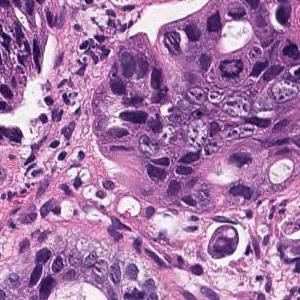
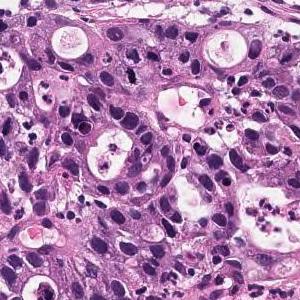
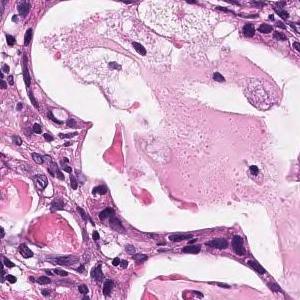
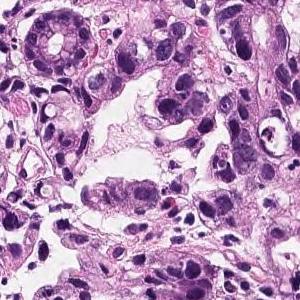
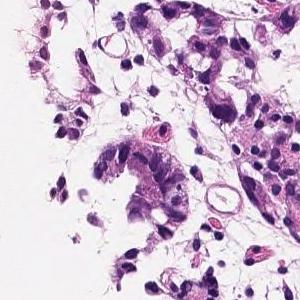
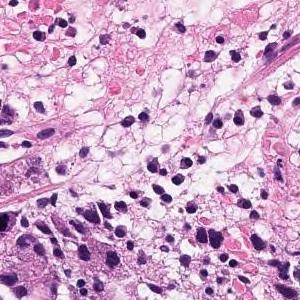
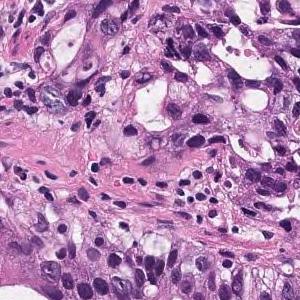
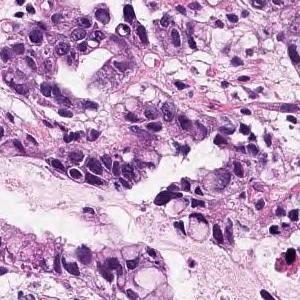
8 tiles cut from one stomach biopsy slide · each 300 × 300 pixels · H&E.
Pathology report for the biopsy slide these tiles were cut from. The report describes the whole slide, diagnosis included: not every finding it names need appear in these tiles, which may also show non-tumor tissue.
In the superficial epithelium, tumor tissue that invades by forming medium-sized to small, irregular ducts is observed. Moderately differentiated adenocarcinoma.
Histological subtype: Moderately differentiated tubular adenocarcinoma.
